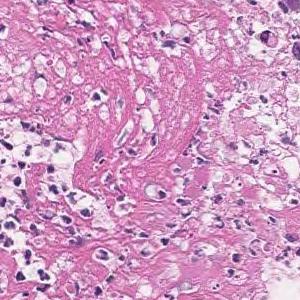
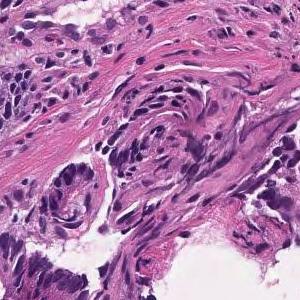
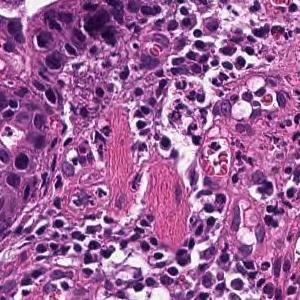
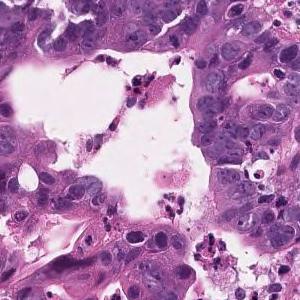
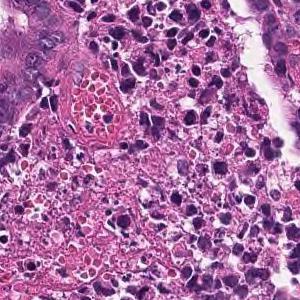
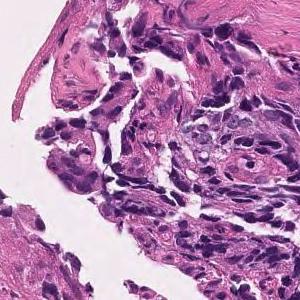
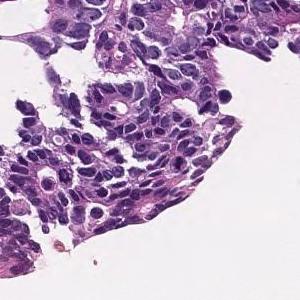
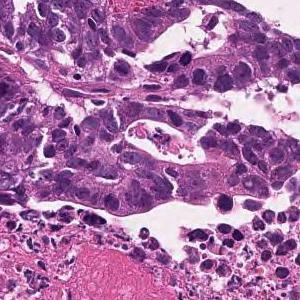
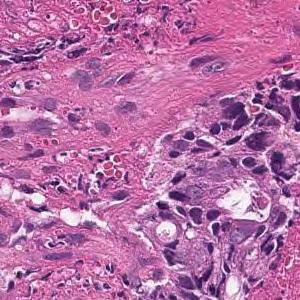
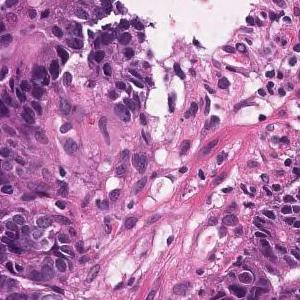
H&E stain · 10 tiles cut from one stomach biopsy slide · each 300 × 300 pixels.
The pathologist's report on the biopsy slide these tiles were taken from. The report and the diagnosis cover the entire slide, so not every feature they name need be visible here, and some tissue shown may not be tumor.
In the superficial epithelium, tumor tissue that invades by forming medium-sized to small, irregular ducts is observed. moderately differentiated tubular adenocarcinoma.
